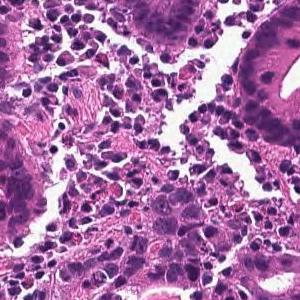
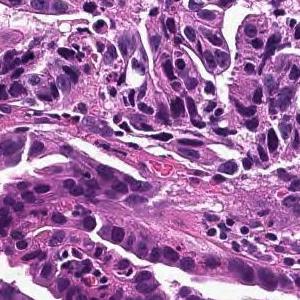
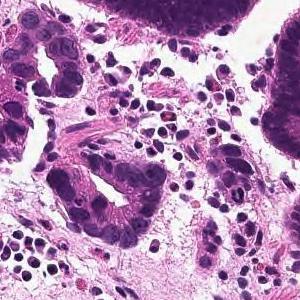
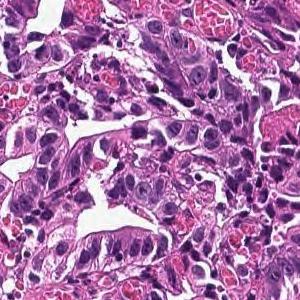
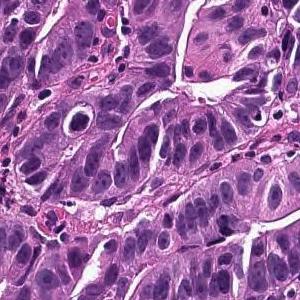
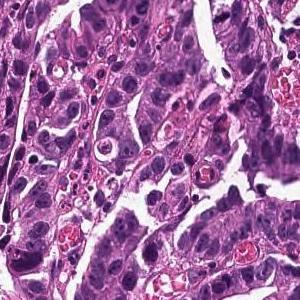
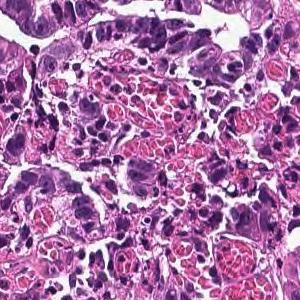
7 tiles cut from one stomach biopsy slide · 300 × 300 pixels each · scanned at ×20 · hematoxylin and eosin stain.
Report on the slide these tiles come from. The report and the diagnosis cover the entire slide, so not every feature they name need be visible here, and some tissue shown may not be tumor.
On the superficial epithelium, tumor tissue consisting of large, irregular glandular ducts partially fused and infiltrated is observed. Well to moderately differentiated tubular adenocarcinoma (well differentiated tubular adenocarcinoma, moderately differentiated tubular adenocarcinoma)
Subtype: Well to moderately differentiated tubular adenocarcinoma.
